20× magnification, hematoxylin and eosin stain, 15 tiles cut from one stomach biopsy slide, each 300 × 300 pixels.
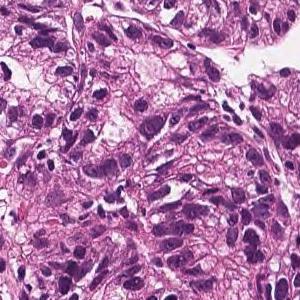
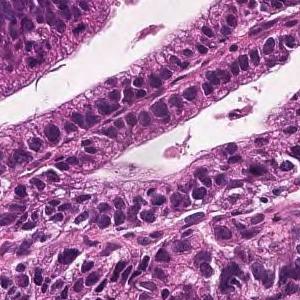
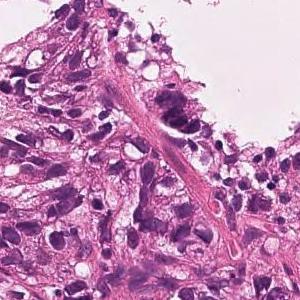
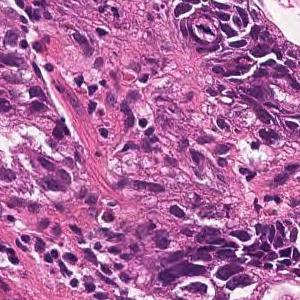
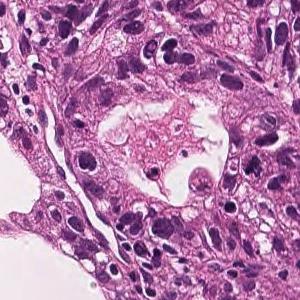
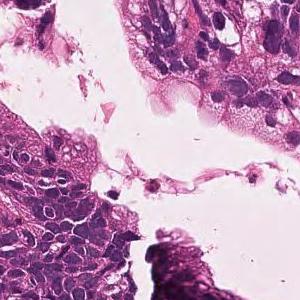
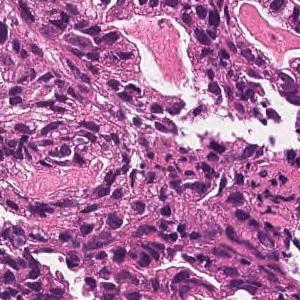
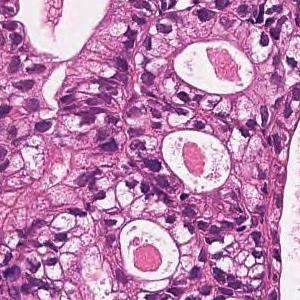
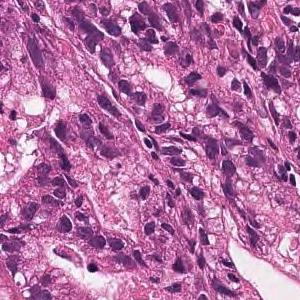
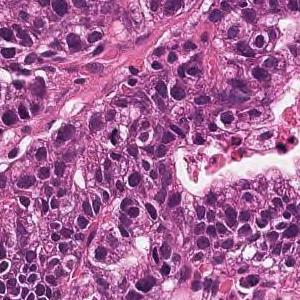
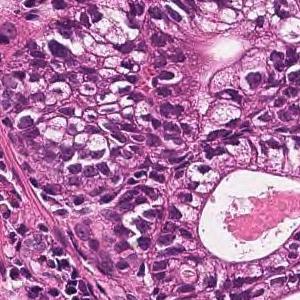
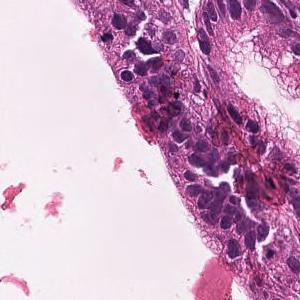
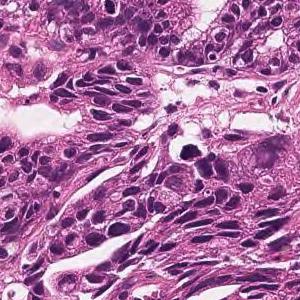
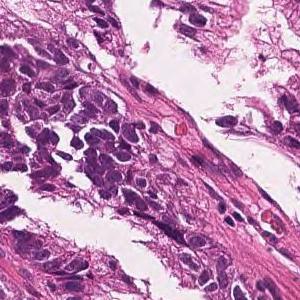
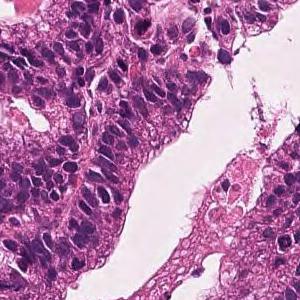
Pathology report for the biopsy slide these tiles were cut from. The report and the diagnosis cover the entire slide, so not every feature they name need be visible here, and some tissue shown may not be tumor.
On the superficial epithelium, tumor tissue consisting of large, irregular glandular ducts partially fused and infiltrated is observed. Well to moderately differentiated tubular adenocarcinoma (well differentiated tubular adenocarcinoma, moderately differentiated tubular adenocarcinoma)
Histological subtype: Well to moderately differentiated tubular adenocarcinoma.
